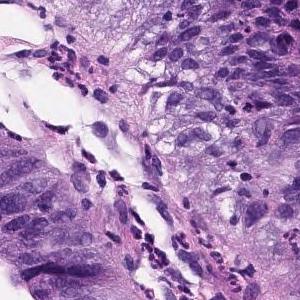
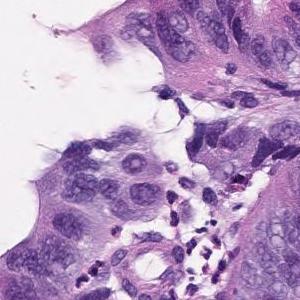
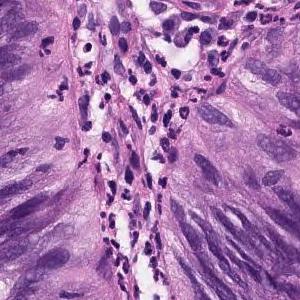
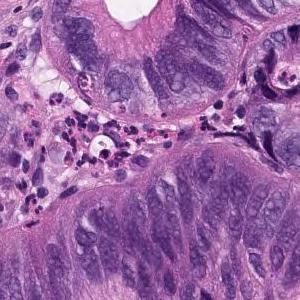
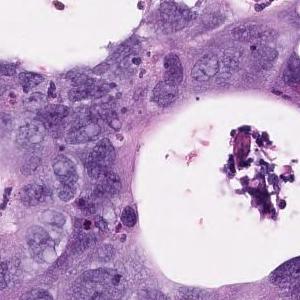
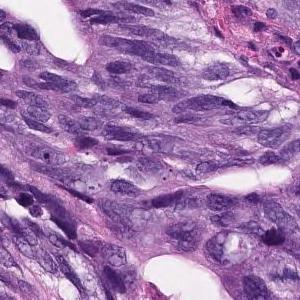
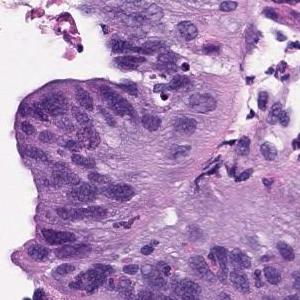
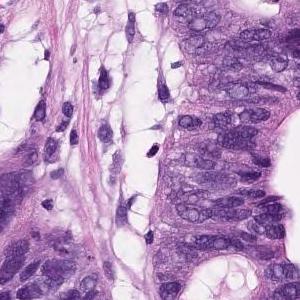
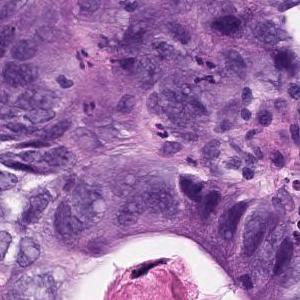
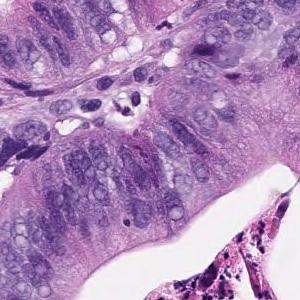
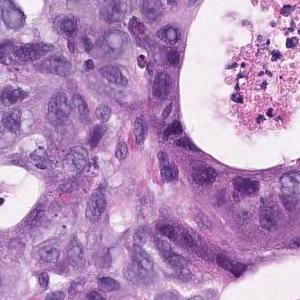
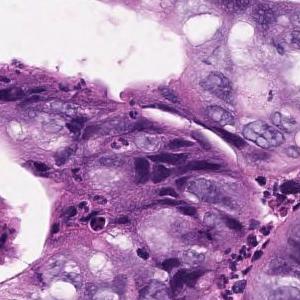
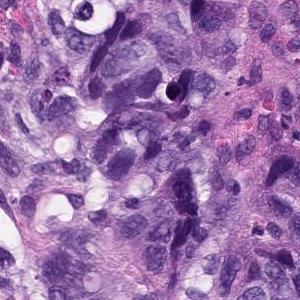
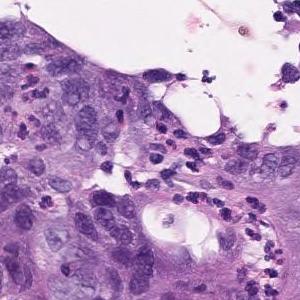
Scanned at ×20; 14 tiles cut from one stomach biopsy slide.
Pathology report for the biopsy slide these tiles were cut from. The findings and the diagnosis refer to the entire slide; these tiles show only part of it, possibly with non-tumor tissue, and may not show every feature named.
In the superficial epithelium, tumor tissue that invades by forming medium-sized to small, irregular ducts is observed. Moderately differentiated adenocarcinoma.
Histological subtype: Moderately differentiated tubular adenocarcinoma.
